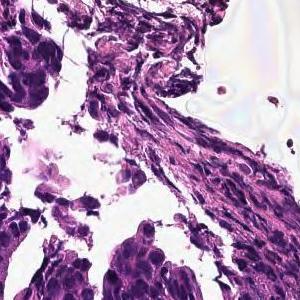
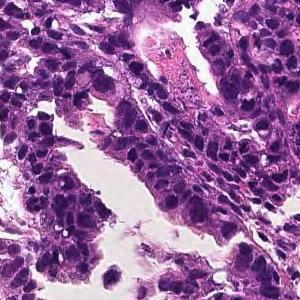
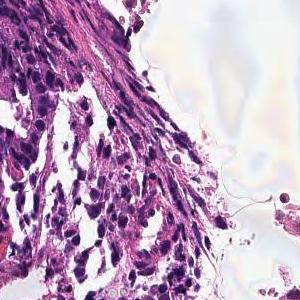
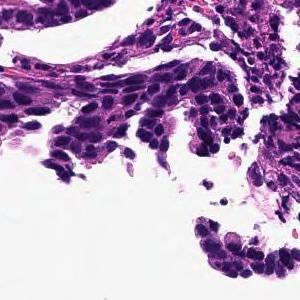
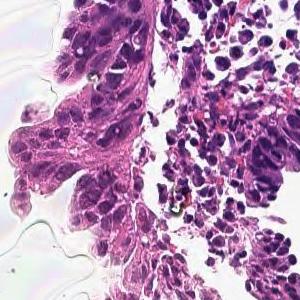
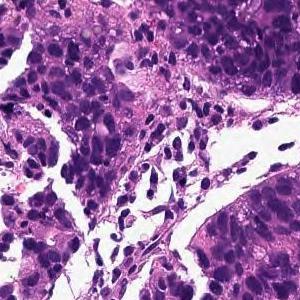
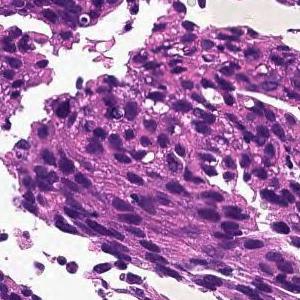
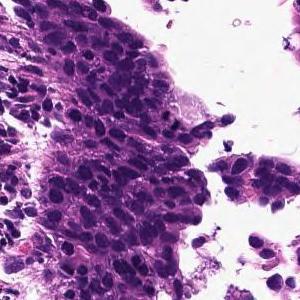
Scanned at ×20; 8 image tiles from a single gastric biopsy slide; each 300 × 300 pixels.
Pathology report for the biopsy slide these tiles were cut from. The report describes the whole slide, diagnosis included: not every finding it names need appear in these tiles, which may also show non-tumor tissue.
In the superficial epithelium, tumor tissue that invades by forming medium-sized to small, irregular ducts is observed. moderately differentiated tubular adenocarcinoma.
